Scanned at ×20; H&E; 15 tiles cut from one stomach biopsy slide; 300 × 300 pixels each.
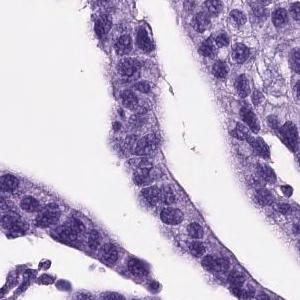
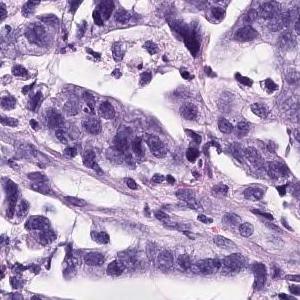
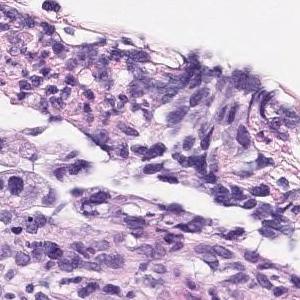
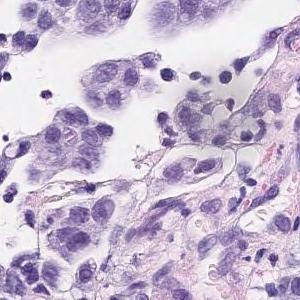
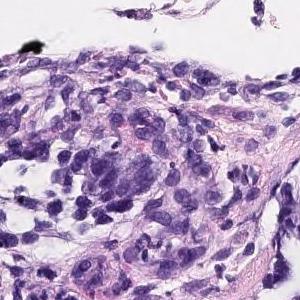
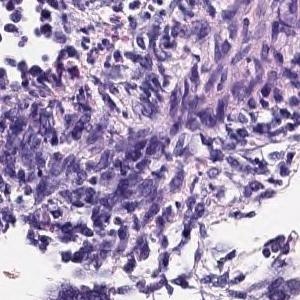
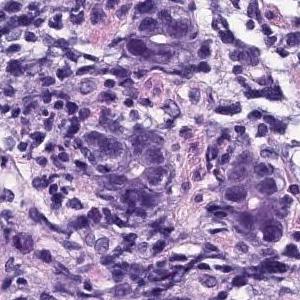
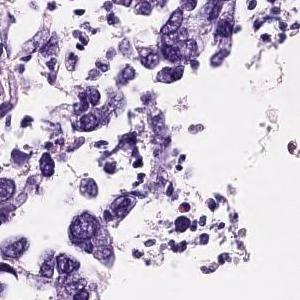
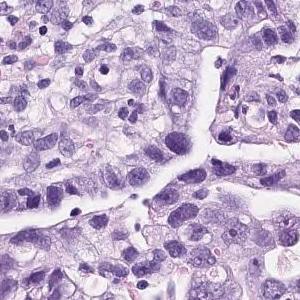
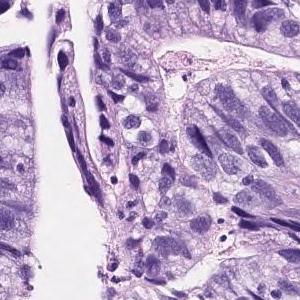
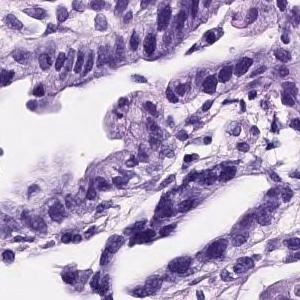
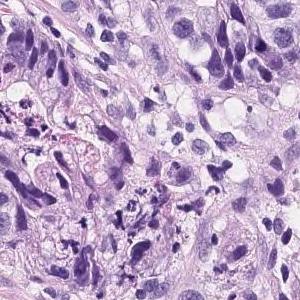
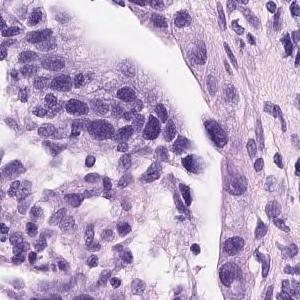
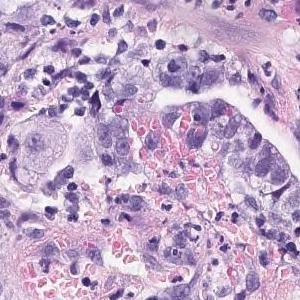
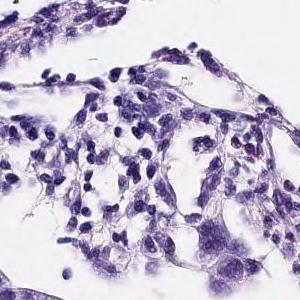
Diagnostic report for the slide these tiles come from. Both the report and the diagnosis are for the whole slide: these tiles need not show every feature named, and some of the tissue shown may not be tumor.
On the superficial epithelium, tumor tissue consisting of medium to small irregular tubules partially fused and proliferated is observed. moderately differentiated tubular adenocarcinoma
